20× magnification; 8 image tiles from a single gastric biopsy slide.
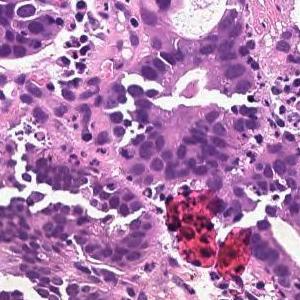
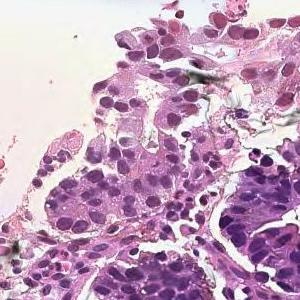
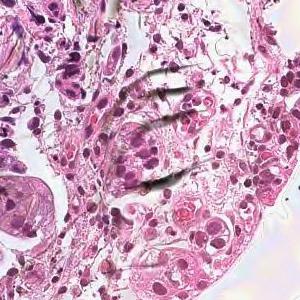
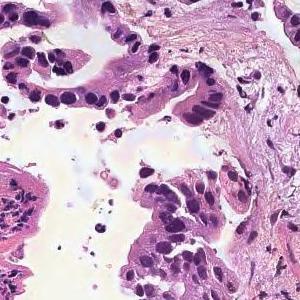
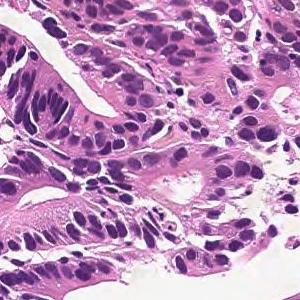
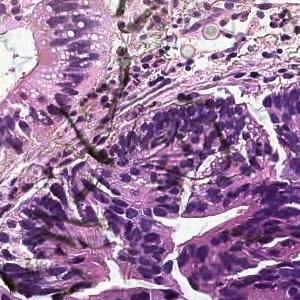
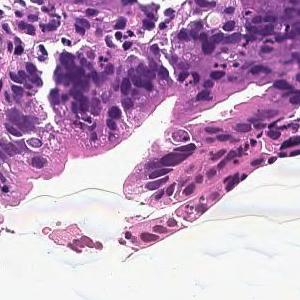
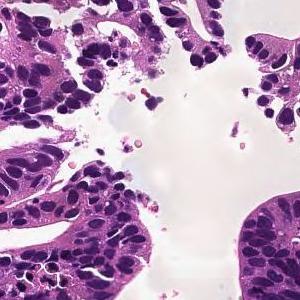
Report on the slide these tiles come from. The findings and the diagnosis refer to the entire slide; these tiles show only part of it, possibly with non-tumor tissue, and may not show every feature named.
On the superficial epithelium, tumor tissue consisting of large irregular glandular ducts partially fused and infiltrated is observed. Well to moderately differentiated tubular adenocarcinoma (well differentiated tubular adenocarcinoma, moderately differentiated tubular adenocarcinoma)
Classified as well to moderately differentiated tubular adenocarcinoma.
